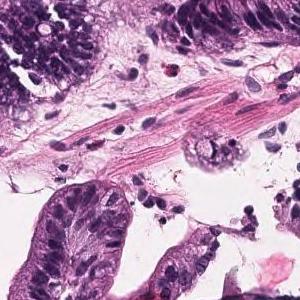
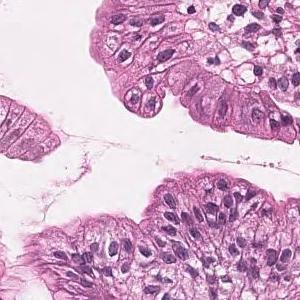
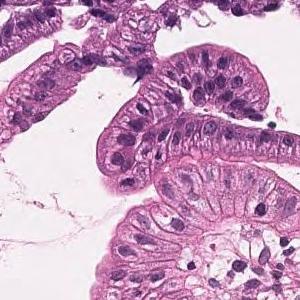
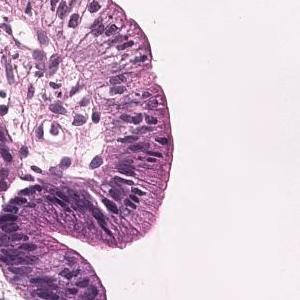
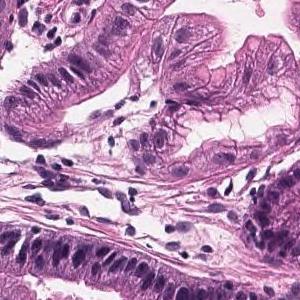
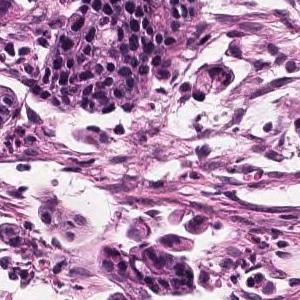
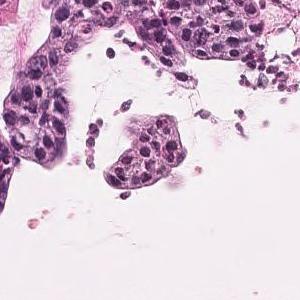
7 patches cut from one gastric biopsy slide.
Diagnostic report for the slide these tiles come from. What the report and the diagnosis say applies to the whole slide; these tiles may miss some of the features named and may include tissue that is not tumor.
Tumor tissue that grows invasively while the short atypical epithelium forms small ducts is observed. moderately differentiated tubular adenocarcinoma
